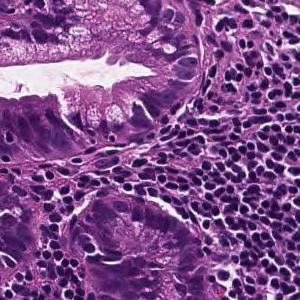
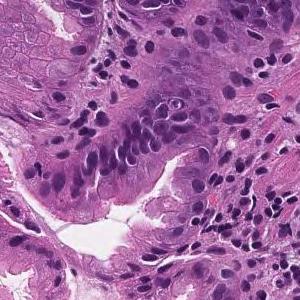
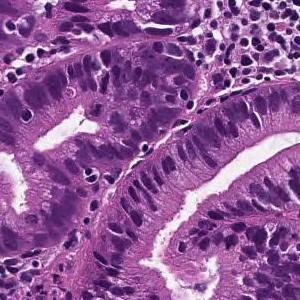
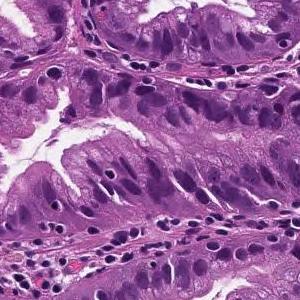
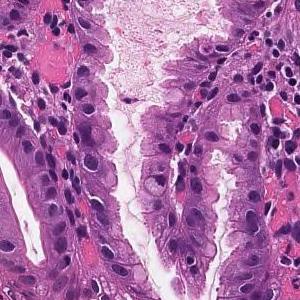
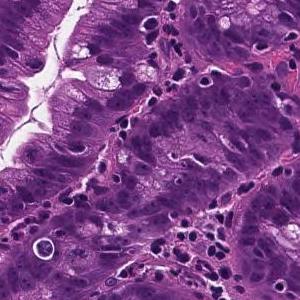
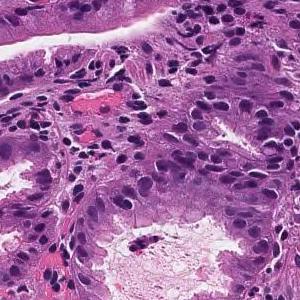
7 tiles cut from one stomach biopsy slide, 300 × 300 pixels each, ×20.
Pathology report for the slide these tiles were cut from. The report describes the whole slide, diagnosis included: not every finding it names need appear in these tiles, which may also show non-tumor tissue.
From the superficial epithelium to the muscularis mucosae, tumor tissue consisting of medium-sized and irregular glandular ducts infiltrating is observed. Well differentiated tubular adenocarcinoma
